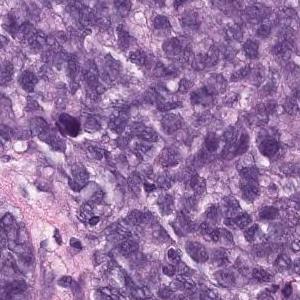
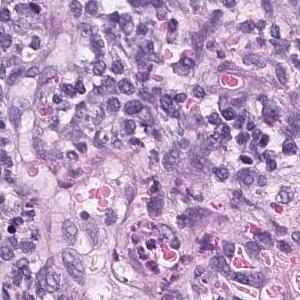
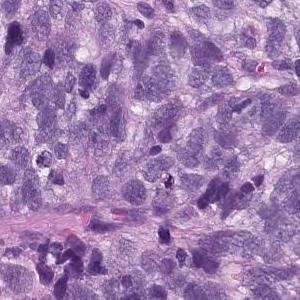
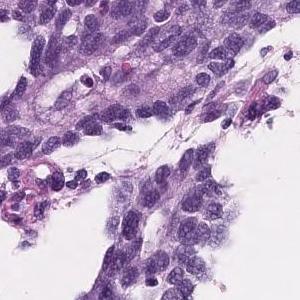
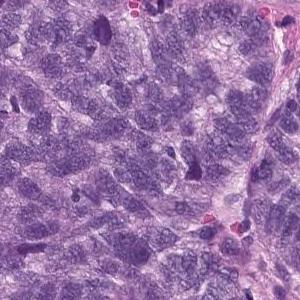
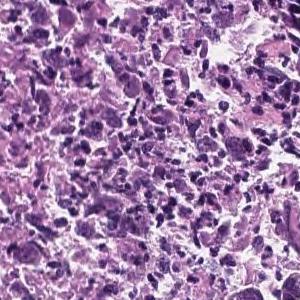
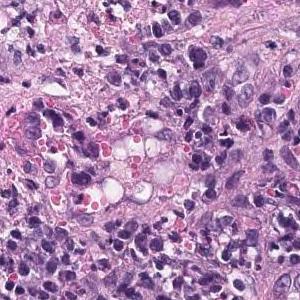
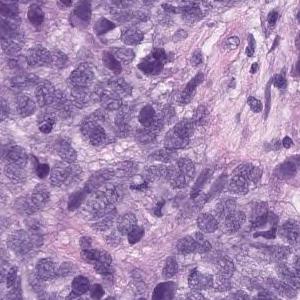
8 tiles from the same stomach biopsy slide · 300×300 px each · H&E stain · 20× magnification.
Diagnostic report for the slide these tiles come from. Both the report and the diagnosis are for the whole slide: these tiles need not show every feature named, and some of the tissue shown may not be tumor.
Epithelial cells with swollen nuclei with atypia invasively proliferating while forming vesicles is observed. Poorly differentiated adenocarcinoma
Tumor subtype: poorly differentiated adenocarcinoma, solid type. This name comes from the Japanese Classification of Gastric Carcinoma; the WHO 2019 classification calls it tubular adenocarcinoma, poorly differentiated.
